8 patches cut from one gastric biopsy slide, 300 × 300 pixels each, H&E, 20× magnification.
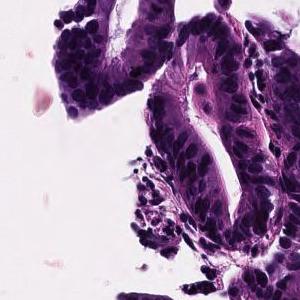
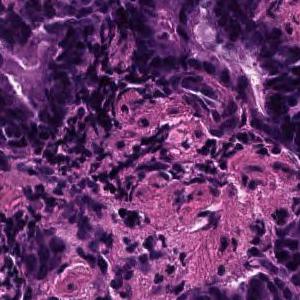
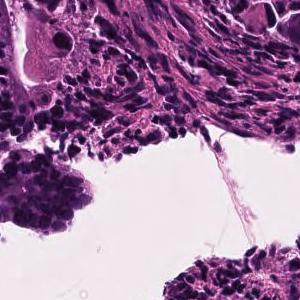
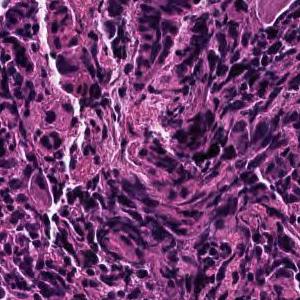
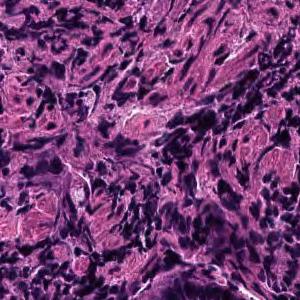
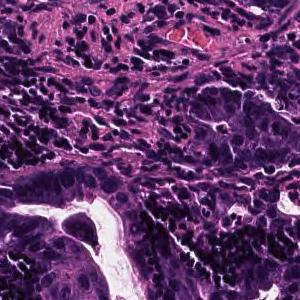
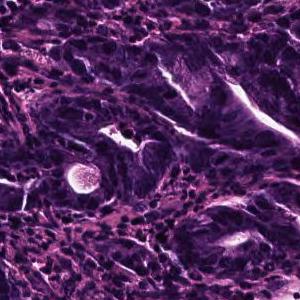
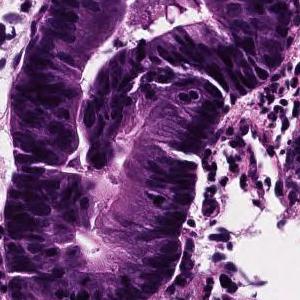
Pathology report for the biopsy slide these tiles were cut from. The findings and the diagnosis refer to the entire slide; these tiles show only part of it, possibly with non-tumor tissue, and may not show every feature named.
On the superficial epithelium, tumor tissue consisting of large, irregular glandular ducts partially fused and infiltrated is observed. Well to moderately differentiated tubular adenocarcinoma (well differentiated tubular adenocarcinoma, moderately differentiated tubular adenocarcinoma)
Subtype: Well to moderately differentiated tubular adenocarcinoma.
